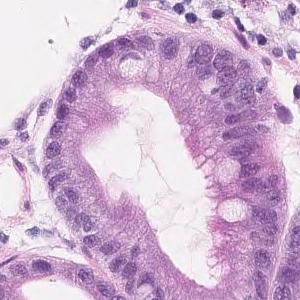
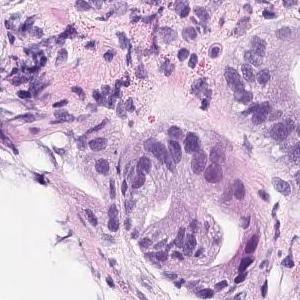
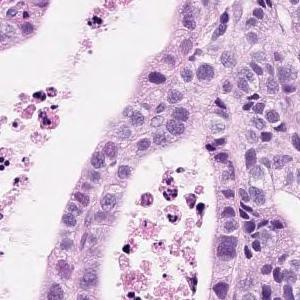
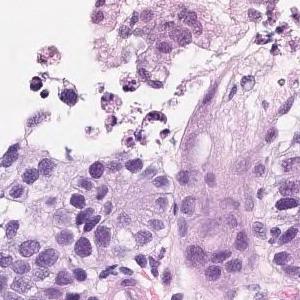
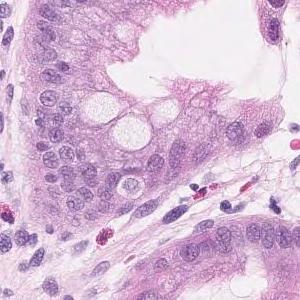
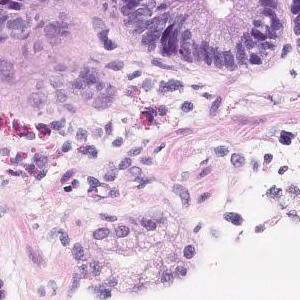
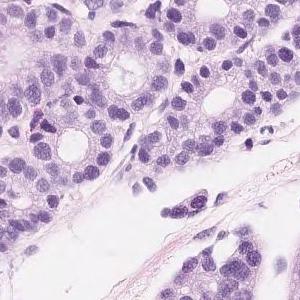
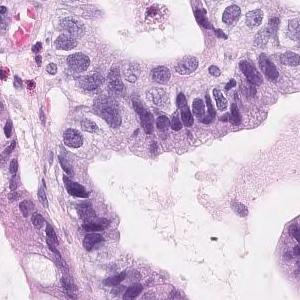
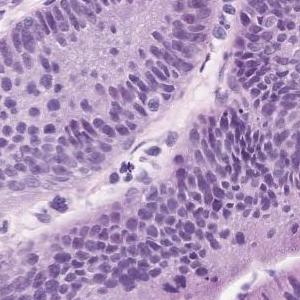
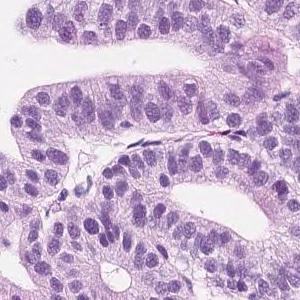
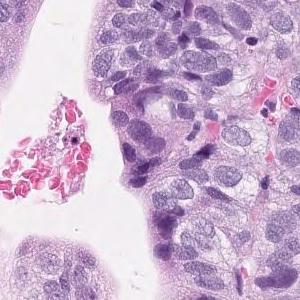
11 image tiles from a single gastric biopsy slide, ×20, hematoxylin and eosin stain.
Report on the slide these tiles come from. What the report and the diagnosis say applies to the whole slide; these tiles may miss some of the features named and may include tissue that is not tumor.
Short atypical epithelium with swelling of the nucleus shows proliferating, large and small irregular ductal structures. Well to moderately differentiated tubular adenocarcinoma (well differentiated tubular adenocarcinoma-moderately differentiated tubular adenocarcinoma)
Histologic type: Well to moderately differentiated tubular adenocarcinoma.
